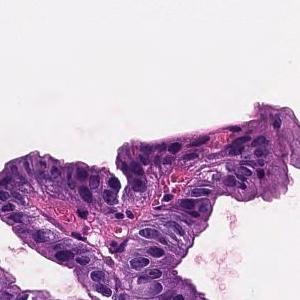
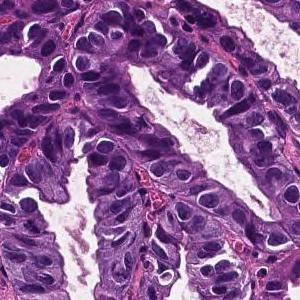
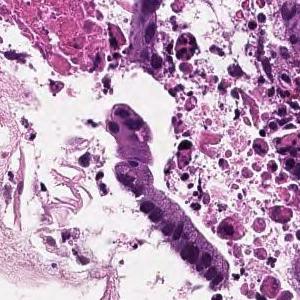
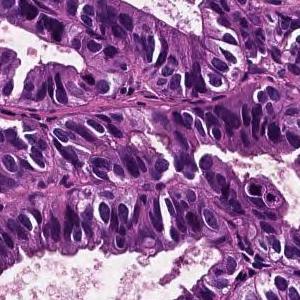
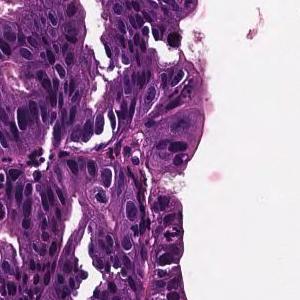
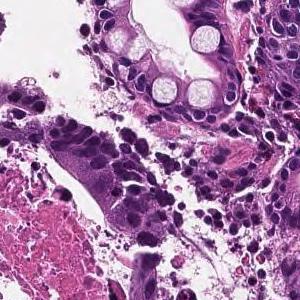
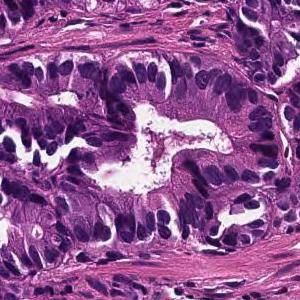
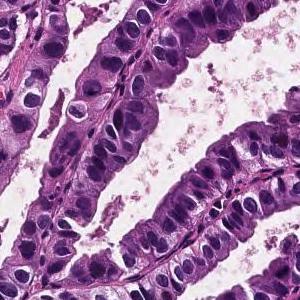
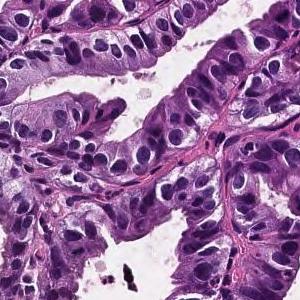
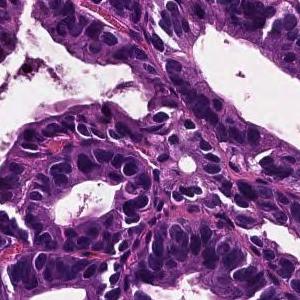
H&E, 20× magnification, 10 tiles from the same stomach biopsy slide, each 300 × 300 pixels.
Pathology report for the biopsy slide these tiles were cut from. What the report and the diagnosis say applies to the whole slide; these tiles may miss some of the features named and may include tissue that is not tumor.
From the superficial epithelium to the muscularis mucosae, tumor tissue consisting of medium-sized and irregular glandular ducts infiltrating is observed. Well differentiated tubular adenocarcinoma
